16 tiles from the same stomach biopsy slide, 300×300 px each, H&E.
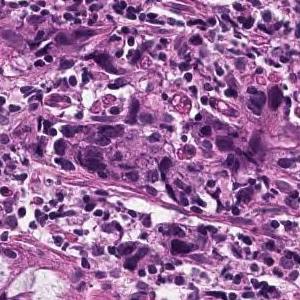
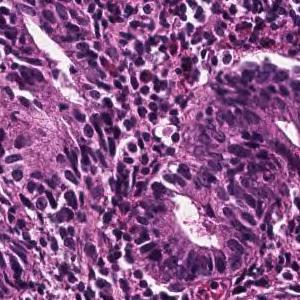
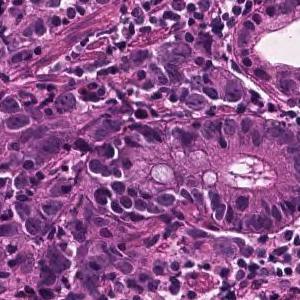
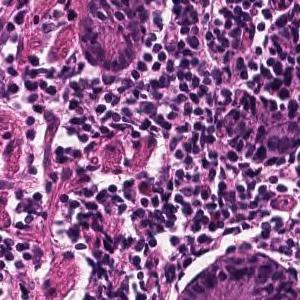
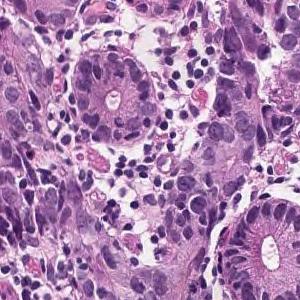
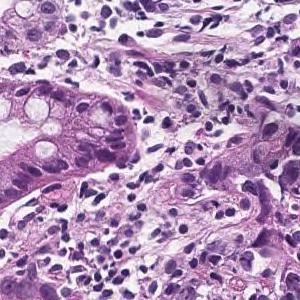
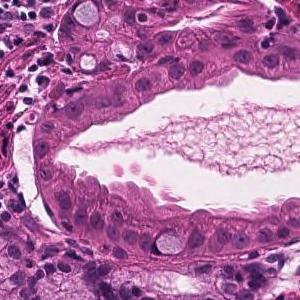
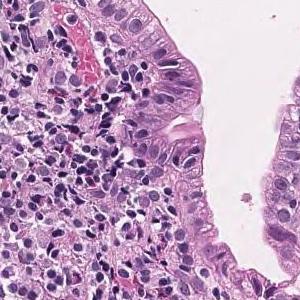
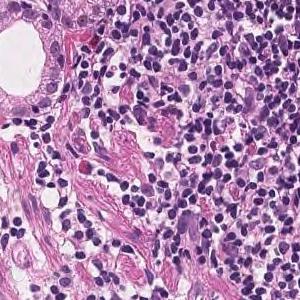
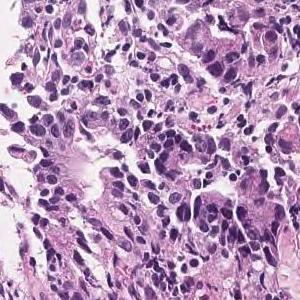
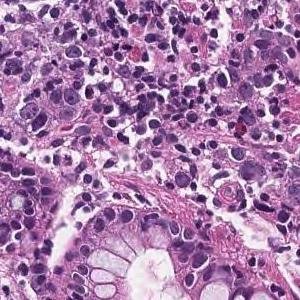
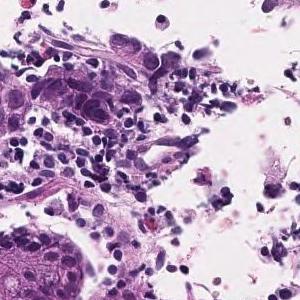
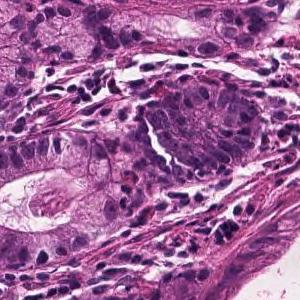
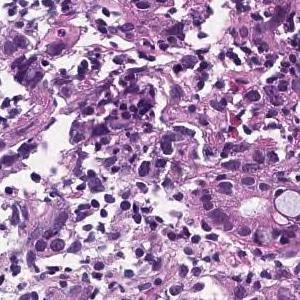
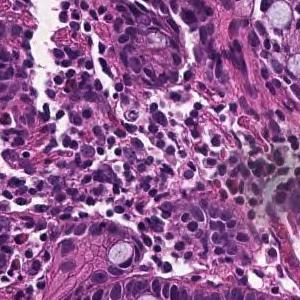
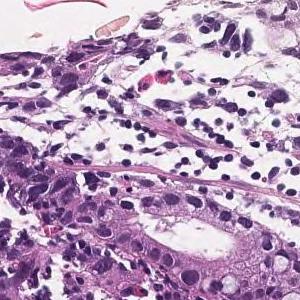
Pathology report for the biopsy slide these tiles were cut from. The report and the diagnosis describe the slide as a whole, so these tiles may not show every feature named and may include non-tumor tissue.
Tumor tissue consisting of medium-sized, cord-like or irregular glandular infiltration is observed in the superficial epithelium. Poorly differentiated adenocarcinoma, non-solid type or moderately differentiated tubular adenocarcinoma
Histological subtype: Moderately to poorly differentiated adenocarcinoma.
The non-solid type named here is a Japanese Classification of Gastric Carcinoma category.
